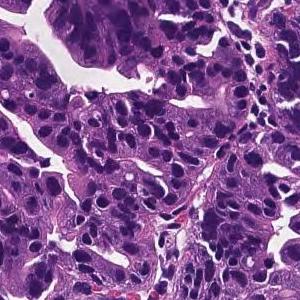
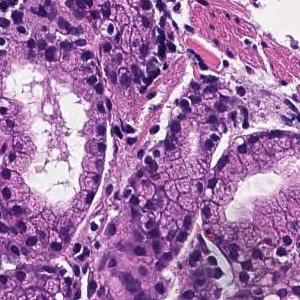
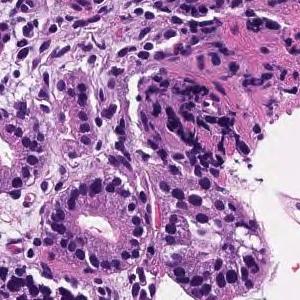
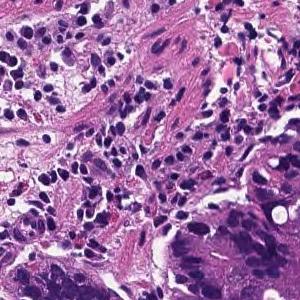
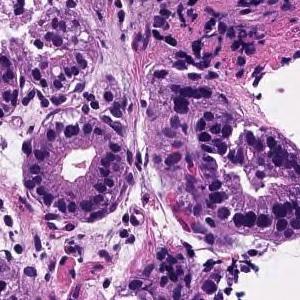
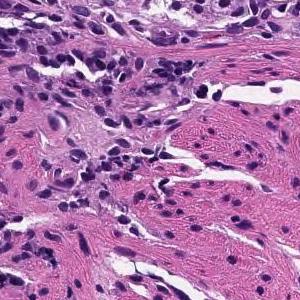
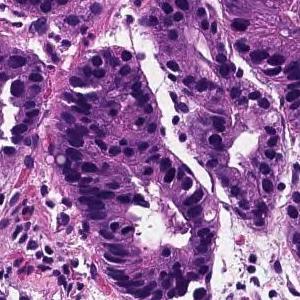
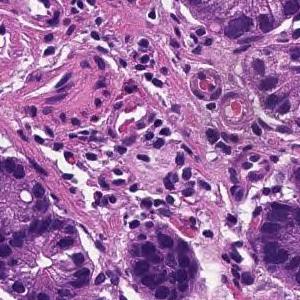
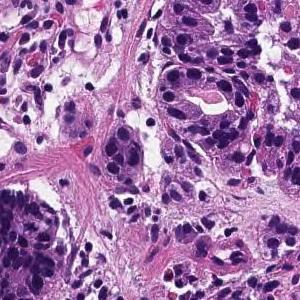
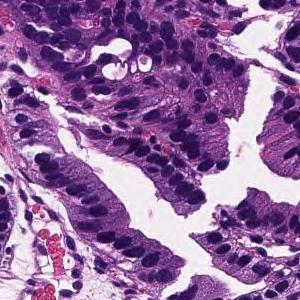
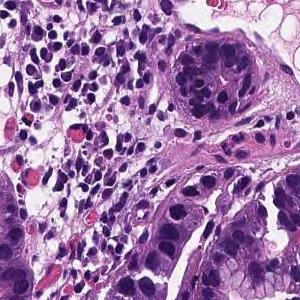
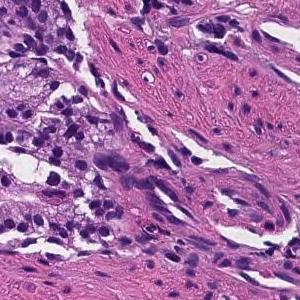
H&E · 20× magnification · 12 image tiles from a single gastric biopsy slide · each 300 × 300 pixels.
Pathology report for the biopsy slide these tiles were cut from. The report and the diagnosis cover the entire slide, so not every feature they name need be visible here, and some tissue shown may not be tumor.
From the superficial epithelium to the muscularis mucosae, tumor tissue consisting of medium-sized and irregular glandular ducts infiltrating is observed. Well differentiated tubular adenocarcinoma
